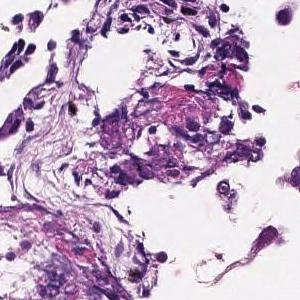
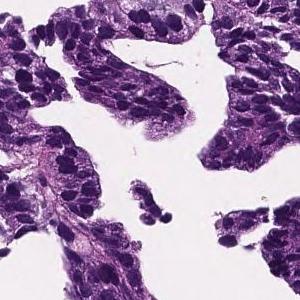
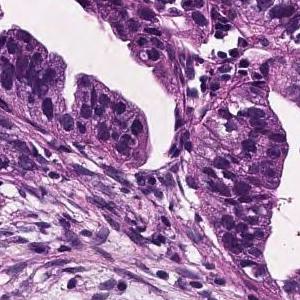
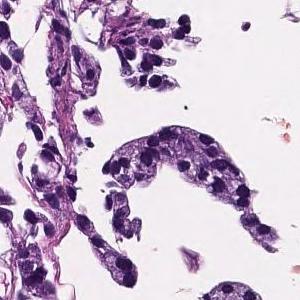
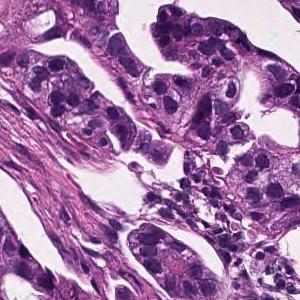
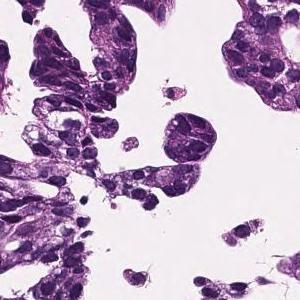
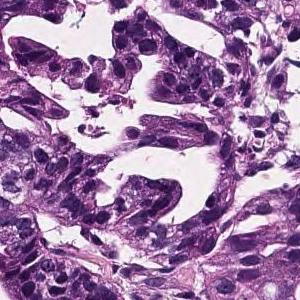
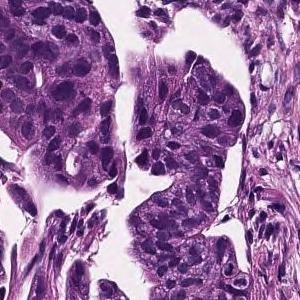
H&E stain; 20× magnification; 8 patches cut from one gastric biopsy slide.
Report on the slide these tiles come from. The report and the diagnosis describe the slide as a whole, so these tiles may not show every feature named and may include non-tumor tissue.
In the lamina propria, tumor tissue that invades by forming medium-sized to small, irregular glandular ducts is observed. moderately differentiated tubular adenocarcinoma
